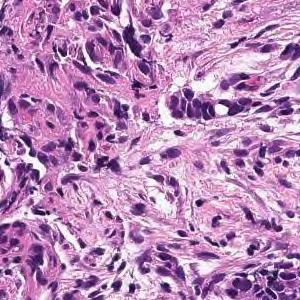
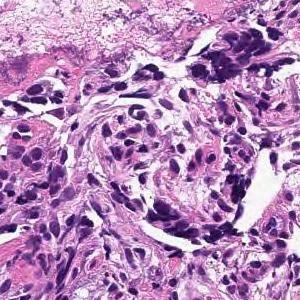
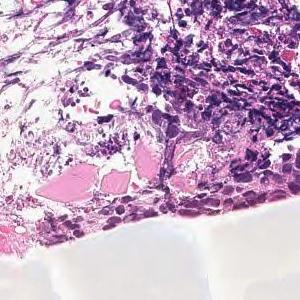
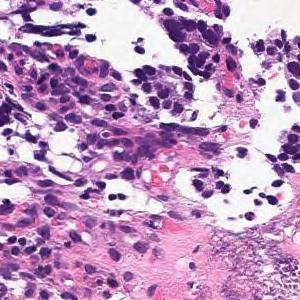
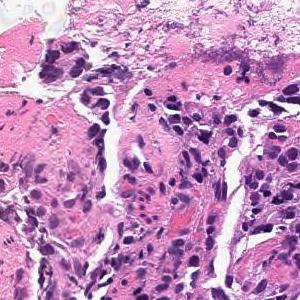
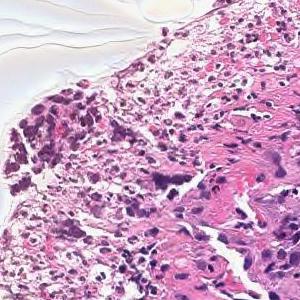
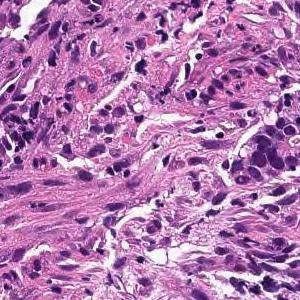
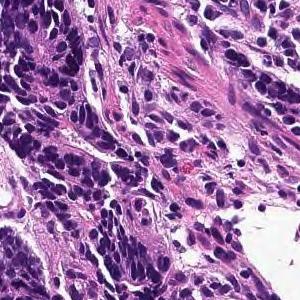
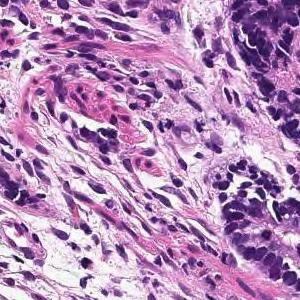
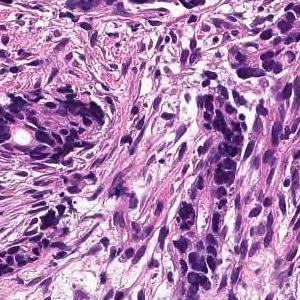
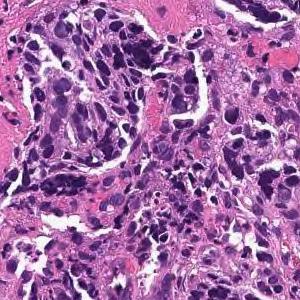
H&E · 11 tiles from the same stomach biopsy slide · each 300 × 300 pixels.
The pathologist's report on the biopsy slide these tiles were taken from. The findings and the diagnosis refer to the entire slide; these tiles show only part of it, possibly with non-tumor tissue, and may not show every feature named.
Tumor tissue consisting of medium-sized, cord-like or irregular glandular infiltration is observed in the superficial epithelium. Poorly differentiated adenocarcinoma, non-solid type or moderately differentiated tubular adenocarcinoma
Tumor subtype: moderately to poorly differentiated adenocarcinoma.
"Non-solid type" is a category of the Japanese Classification of Gastric Carcinoma.
